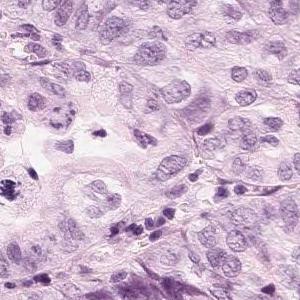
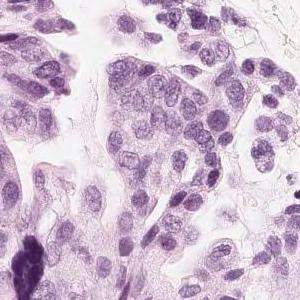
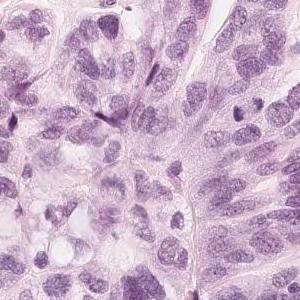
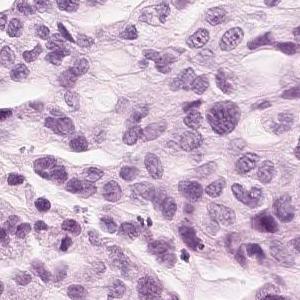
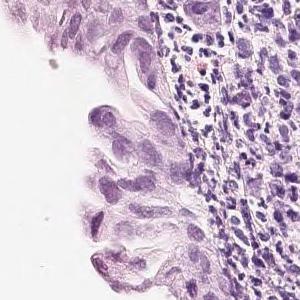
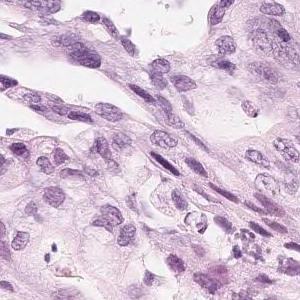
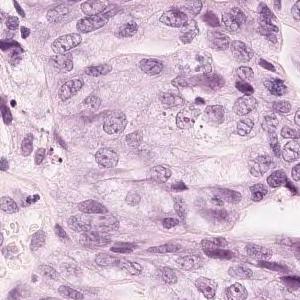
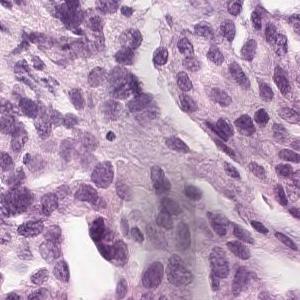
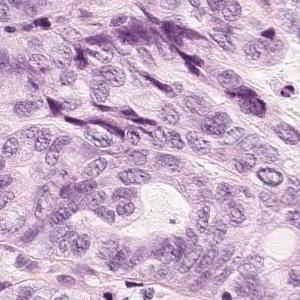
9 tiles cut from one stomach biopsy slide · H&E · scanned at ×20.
Diagnostic report for the slide these tiles come from. The findings and the diagnosis refer to the entire slide; these tiles show only part of it, possibly with non-tumor tissue, and may not show every feature named.
Tumor tissue in which medium-sized atypical epithelial cells with a large N/C ratio grow densely while becoming alveolar to cord-like with duct formation is observed. moderately differentiated tubular adenocarcinoma
